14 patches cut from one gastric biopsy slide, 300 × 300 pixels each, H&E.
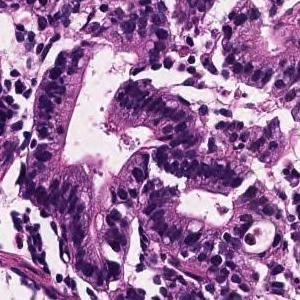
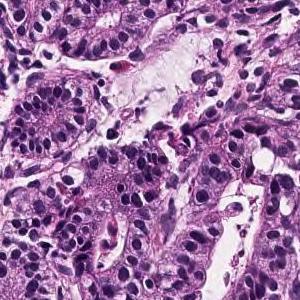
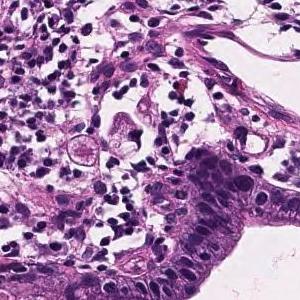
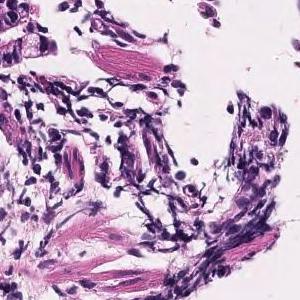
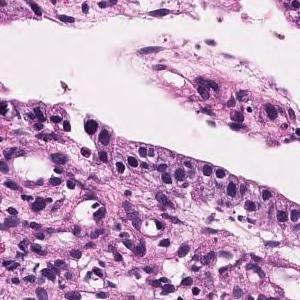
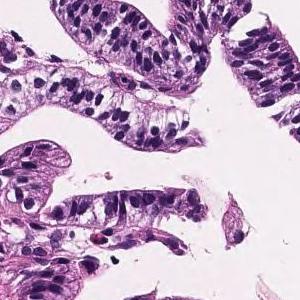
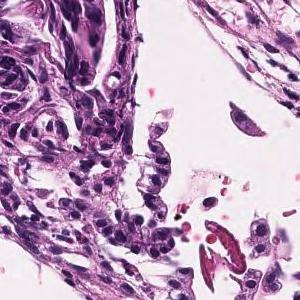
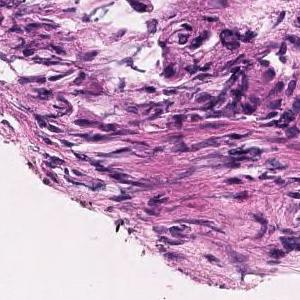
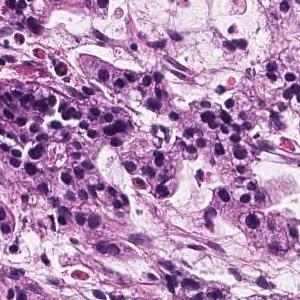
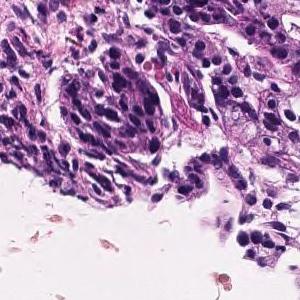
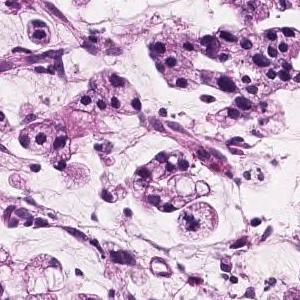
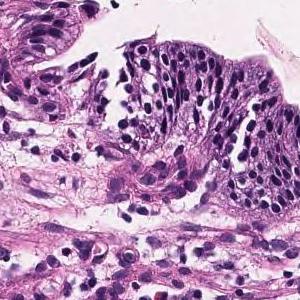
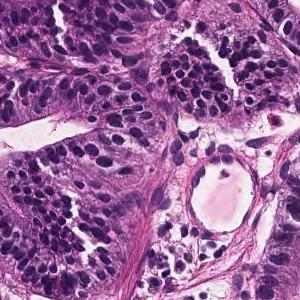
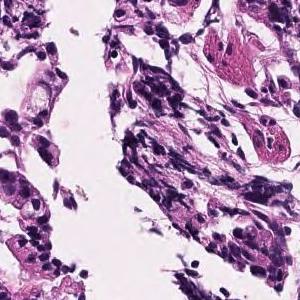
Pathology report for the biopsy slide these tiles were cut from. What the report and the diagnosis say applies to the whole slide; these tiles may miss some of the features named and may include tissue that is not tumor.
Tumor tissue consisting of large papillary structures or irregular glandular ducts partially fused and infiltrated is observed in the superficial epithelium. Well to moderately differentiated tubular adenocarcinoma.
Dataset label: moderately differentiated tubular adenocarcinoma.
